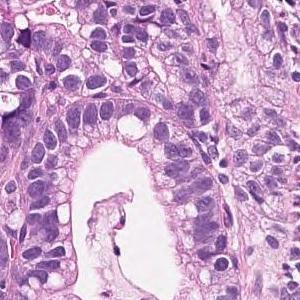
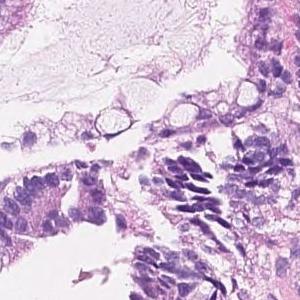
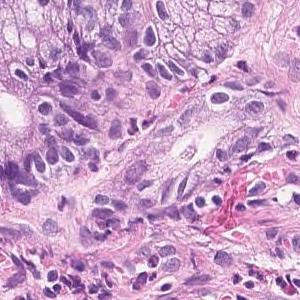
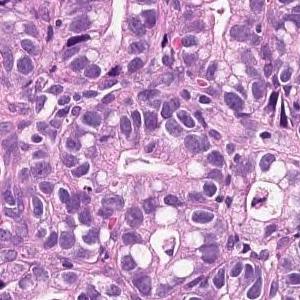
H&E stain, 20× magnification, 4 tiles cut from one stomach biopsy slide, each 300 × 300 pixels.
Diagnostic report for the slide these tiles come from. The findings and the diagnosis refer to the entire slide; these tiles show only part of it, possibly with non-tumor tissue, and may not show every feature named.
On the superficial epithelium, there is a tumor tissue consisting of medium to small, irregular tubules that are partially fused and proliferated. Well to moderately differentiated tubular adenocarcinoma
